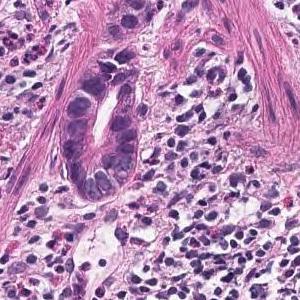
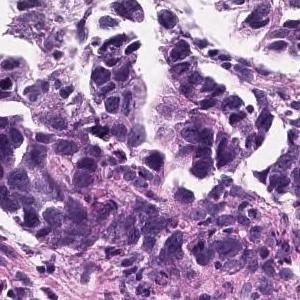
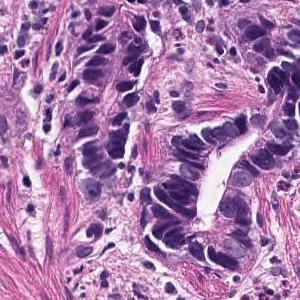
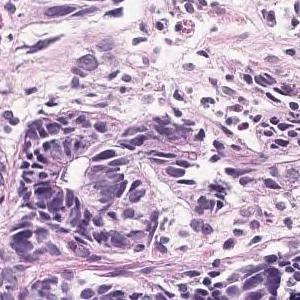
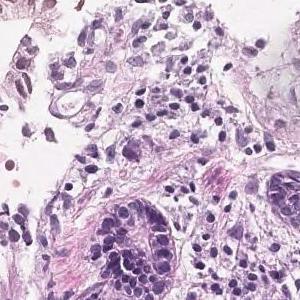
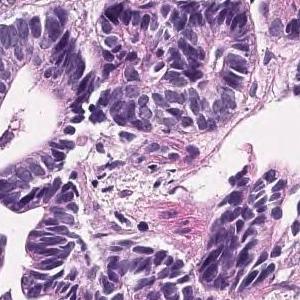
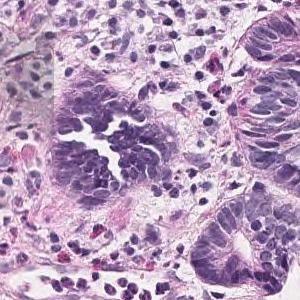
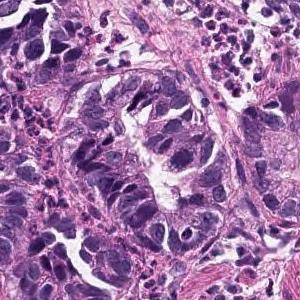
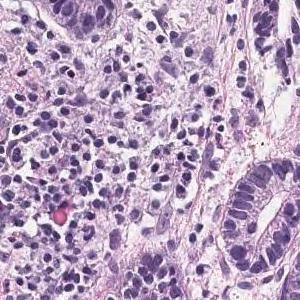
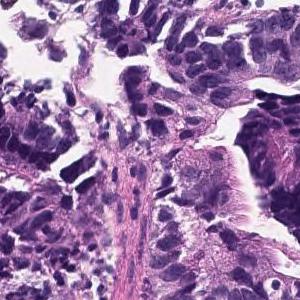
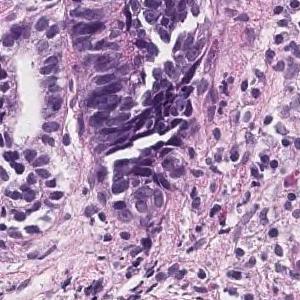
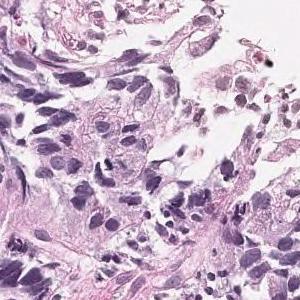
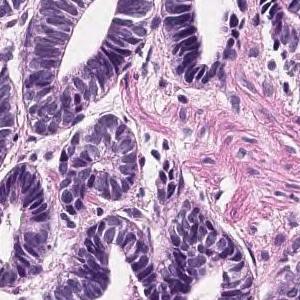
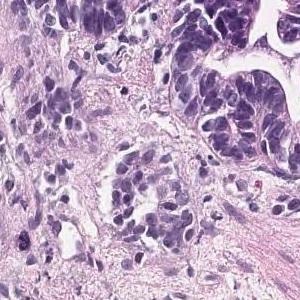
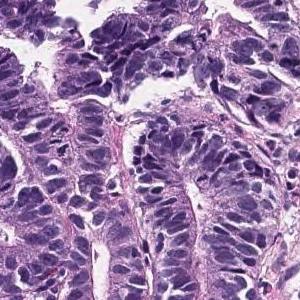
15 image tiles from a single gastric biopsy slide · 300 × 300 pixels each · hematoxylin and eosin stain.
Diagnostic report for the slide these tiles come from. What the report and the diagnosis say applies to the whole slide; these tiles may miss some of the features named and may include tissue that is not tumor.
In the superficial epithelium, tumor tissue that invades by forming medium-sized to small, irregular ducts is observed. Well differentiated tubular adenocarcinoma.
